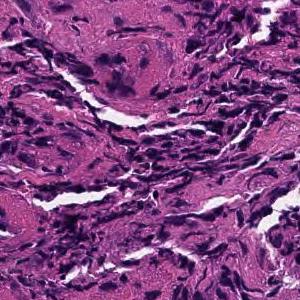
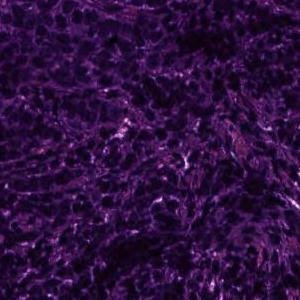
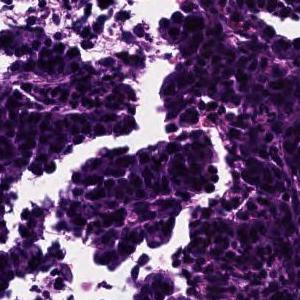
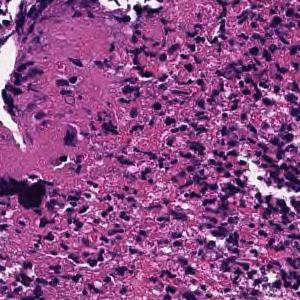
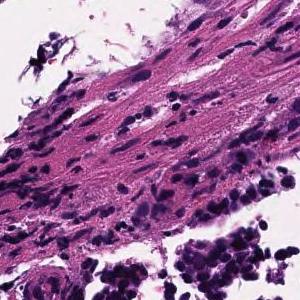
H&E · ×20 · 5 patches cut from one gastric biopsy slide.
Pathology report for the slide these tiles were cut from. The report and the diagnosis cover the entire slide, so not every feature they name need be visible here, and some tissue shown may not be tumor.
In the superficial epithelium, tumor tissue that invades by forming medium-sized to small, irregular ducts is observed. moderately differentiated tubular adenocarcinoma.
